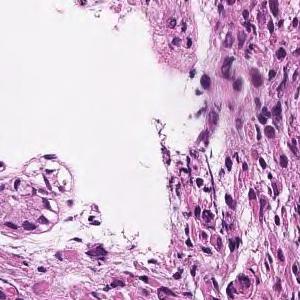
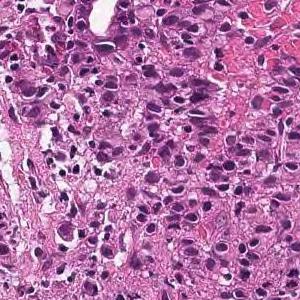
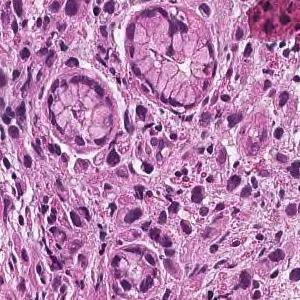
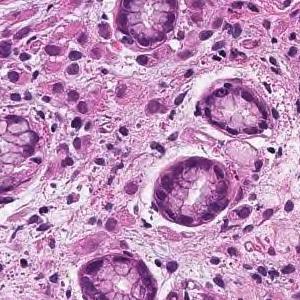
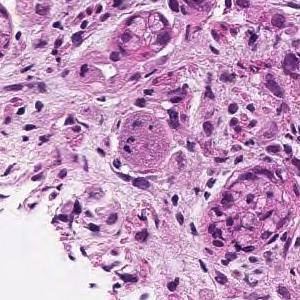
20× magnification · hematoxylin and eosin stain · 5 patches cut from one gastric biopsy slide.
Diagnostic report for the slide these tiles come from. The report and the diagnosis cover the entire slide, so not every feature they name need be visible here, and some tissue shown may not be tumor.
Tumor tissue consisting of cord-like or small, irregular glandular ducts fused and infiltrated is observed in the superficial epithelium. Poorly differentiated adenocarcinoma, non-solid type
The term "non-solid type" comes from the Japanese Classification of Gastric Carcinoma.
